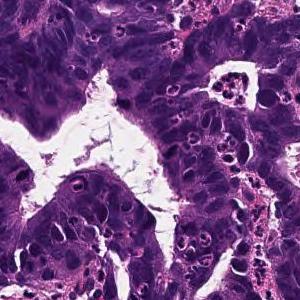
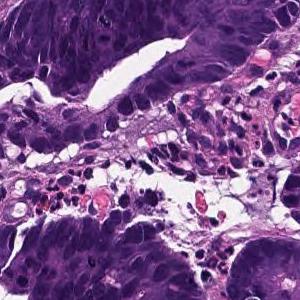
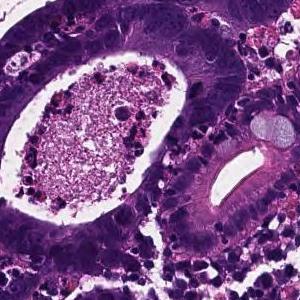
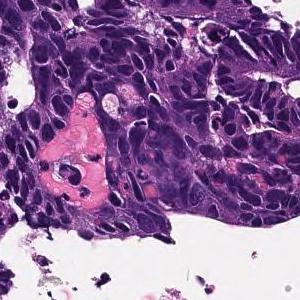
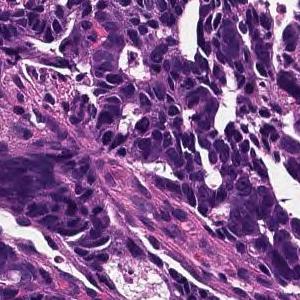
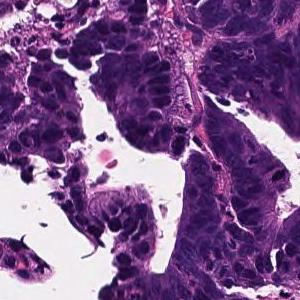
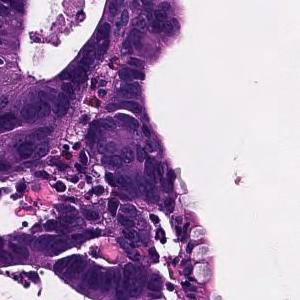
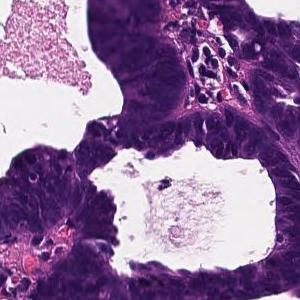
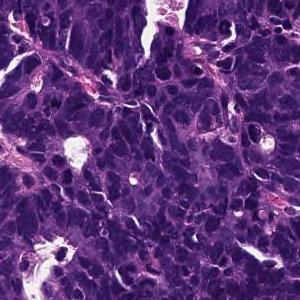
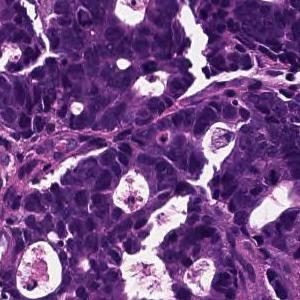
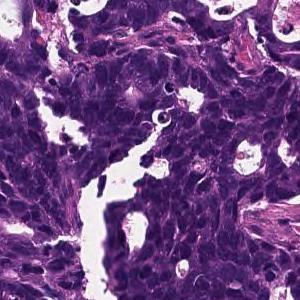
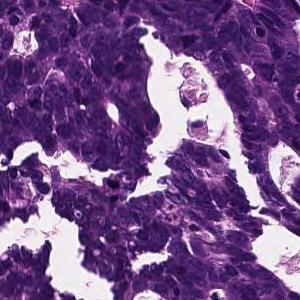
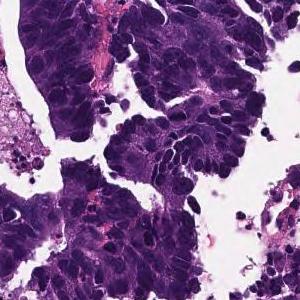
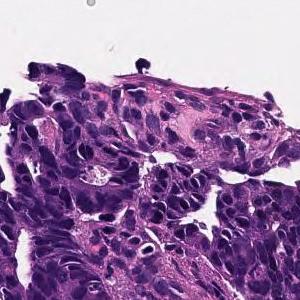
H&E · ×20 · 14 tiles from the same stomach biopsy slide · 300 × 300 pixels each.
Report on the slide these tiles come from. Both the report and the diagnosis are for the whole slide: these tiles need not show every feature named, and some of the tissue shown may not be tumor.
In the superficial epithelium, tumor tissue that invades by forming medium-sized to small, irregular ducts is observed. moderately differentiated tubular adenocarcinoma.
